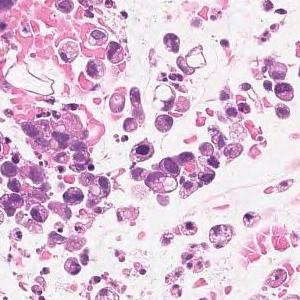
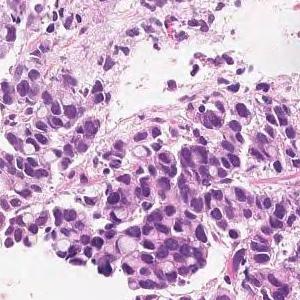
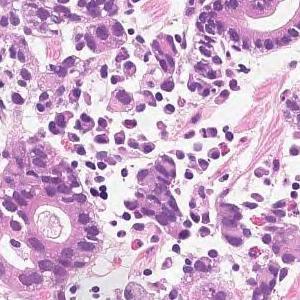
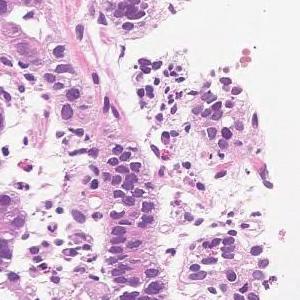
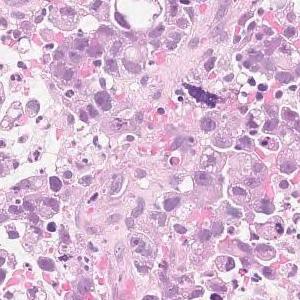
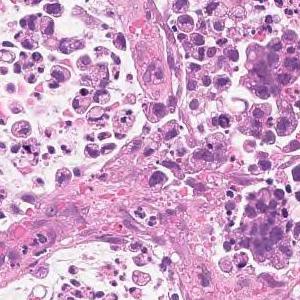
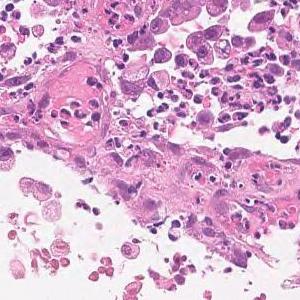
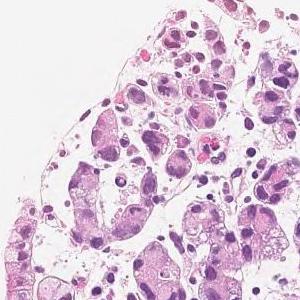
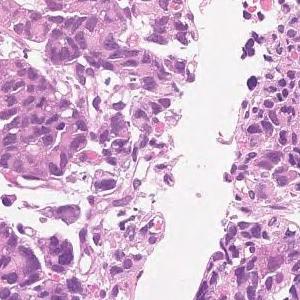
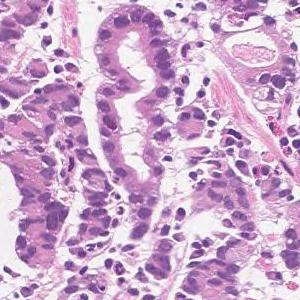
Scanned at ×20, 10 patches cut from one gastric biopsy slide, each 300 × 300 pixels.
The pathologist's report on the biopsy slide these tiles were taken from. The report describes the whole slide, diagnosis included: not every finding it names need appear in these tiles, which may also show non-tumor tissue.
Medium to small, irregular glandular ducts are formed in the superficial epithelium, and in some cases, the glandular ducts are fused to show solid alveolar lesions and infiltrating tumor tissue is observed. Moderately to poorly differentiated adenocarcinoma.
